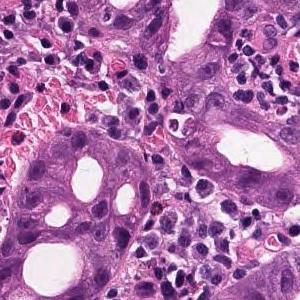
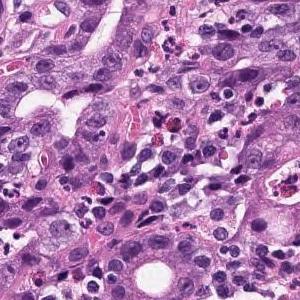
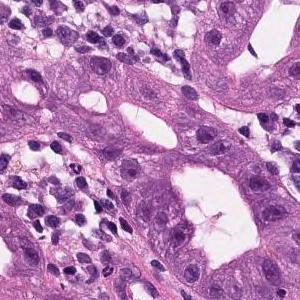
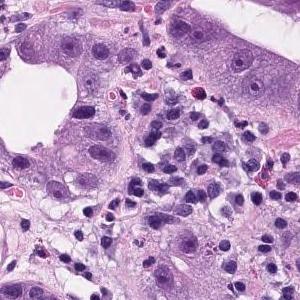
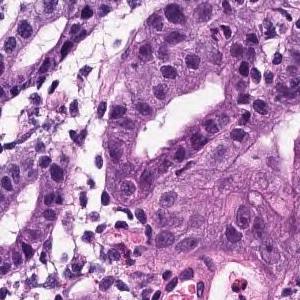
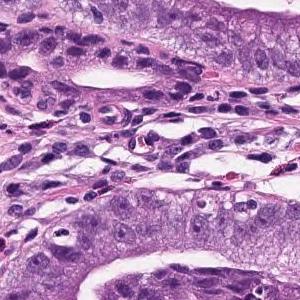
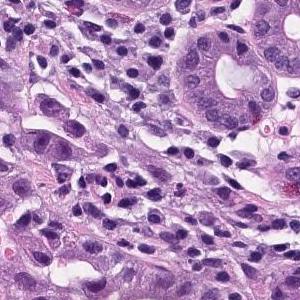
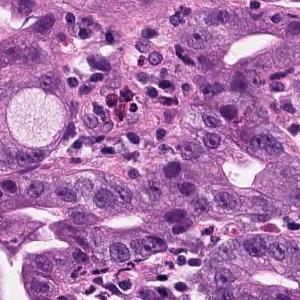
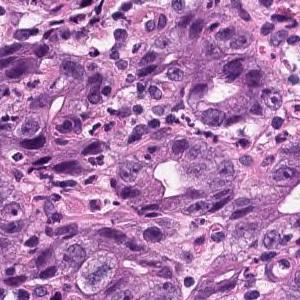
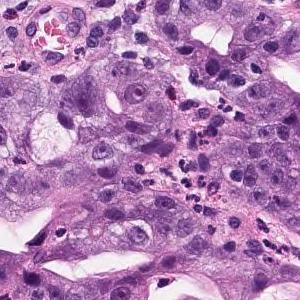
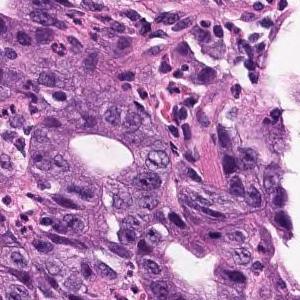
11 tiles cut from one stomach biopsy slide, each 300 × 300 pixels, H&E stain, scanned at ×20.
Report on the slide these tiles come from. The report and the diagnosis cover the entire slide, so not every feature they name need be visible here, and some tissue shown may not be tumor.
In the superficial epithelium, tumor tissue that invades by forming medium-sized to small, irregular ducts is observed. Well to moderately differentiated adenocarcinoma (well differentiated tubular adenocarcinoma, moderately differentiated tubular adenocarcinoma).
Histological subtype: Well to moderately differentiated tubular adenocarcinoma.
